20× magnification, 11 tiles cut from one stomach biopsy slide, 300 × 300 pixels each.
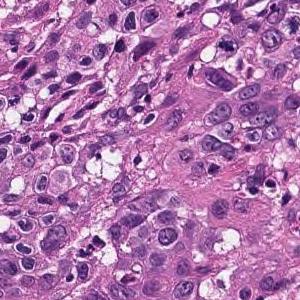
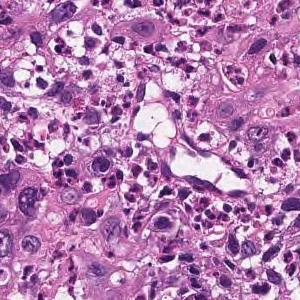
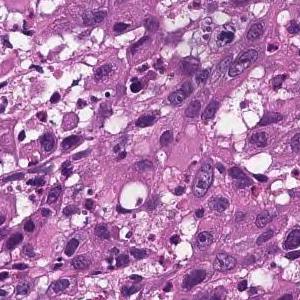
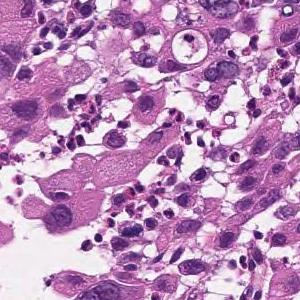
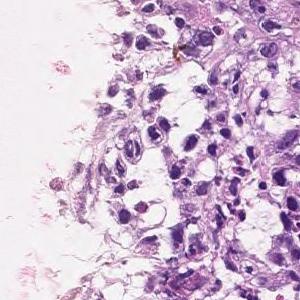
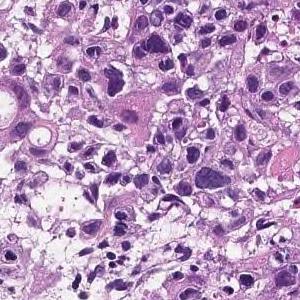
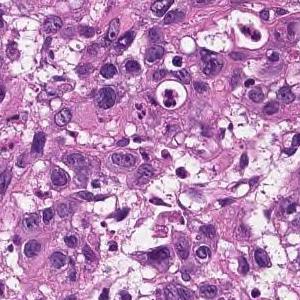
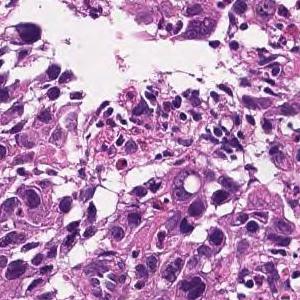
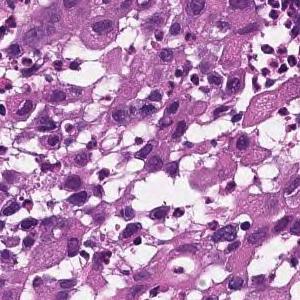
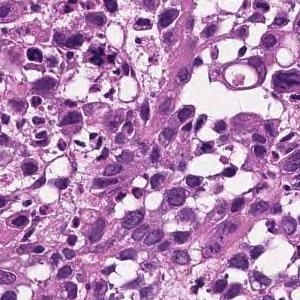
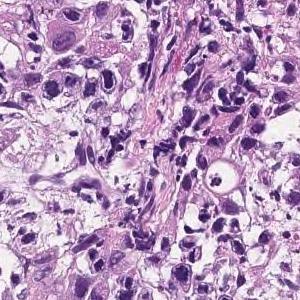
Report on the slide these tiles come from. The report and the diagnosis describe the slide as a whole, so these tiles may not show every feature named and may include non-tumor tissue.
The superficial epithelium shows a large sheet-like shape, and some tumor tissue infiltrates with small irregular ducts. Poorly differentiated adenocarcinoma, solid-type
Classified as poorly differentiated adenocarcinoma, solid type. This name comes from the Japanese Classification of Gastric Carcinoma; the WHO 2019 classification calls it tubular adenocarcinoma, poorly differentiated.
